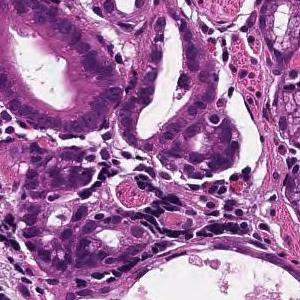
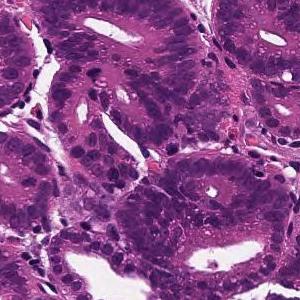
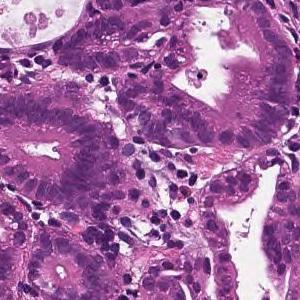
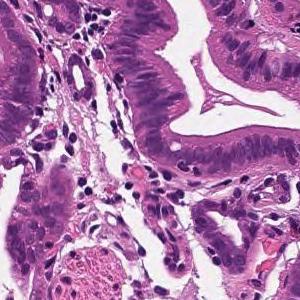
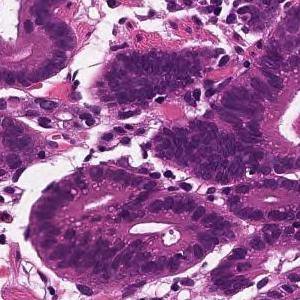
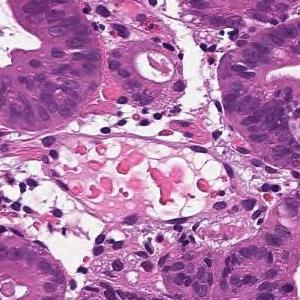
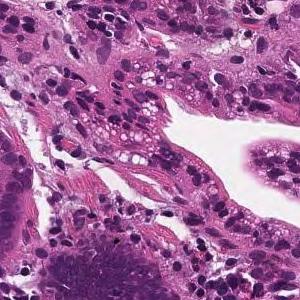
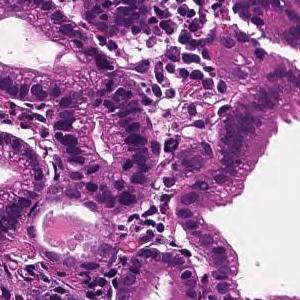
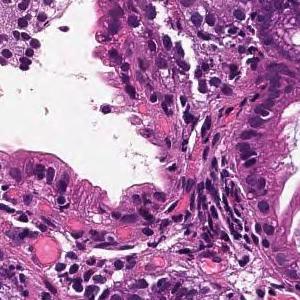
Scanned at ×20, H&E, 9 tiles from the same stomach biopsy slide, 300 × 300 pixels each.
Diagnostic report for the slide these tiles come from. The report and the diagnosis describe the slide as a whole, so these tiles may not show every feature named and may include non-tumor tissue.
In the superficial epithelium, tumor tissue that invades by forming medium-sized to small, irregular ducts is observed. moderately differentiated tubular adenocarcinoma.
